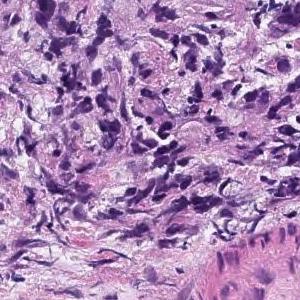
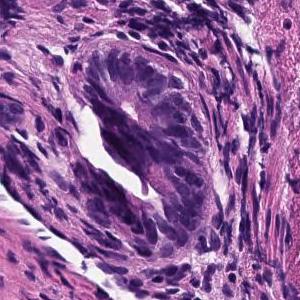
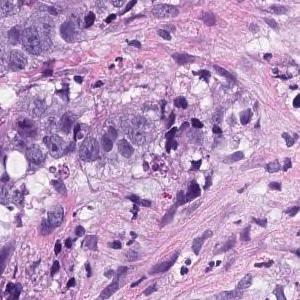
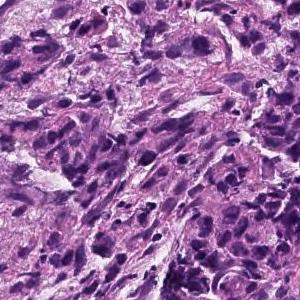
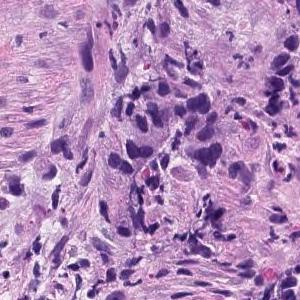
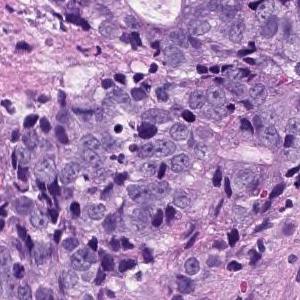
6 image tiles from a single gastric biopsy slide.
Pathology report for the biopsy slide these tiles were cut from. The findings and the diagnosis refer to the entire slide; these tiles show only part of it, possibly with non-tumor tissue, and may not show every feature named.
Medium to small, irregular glandular ducts are formed in the superficial epithelium, and in some cases, the glandular ducts are fused to show solid alveolar lesions and infiltrating tumor tissue is observed. Moderately to poorly differentiated adenocarcinoma.
